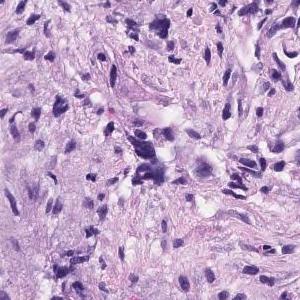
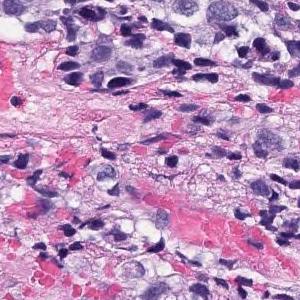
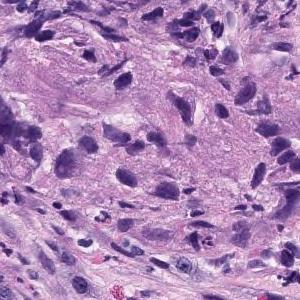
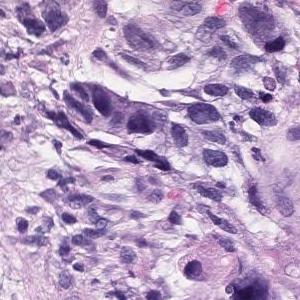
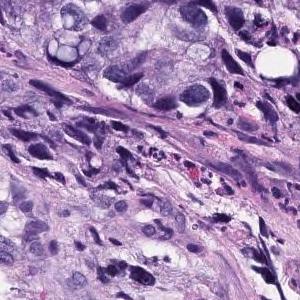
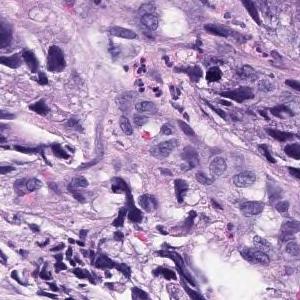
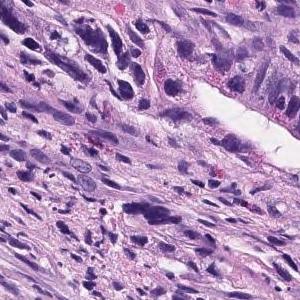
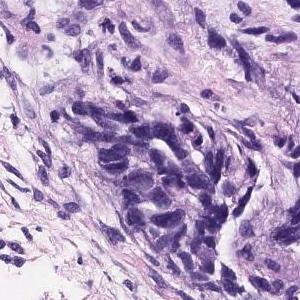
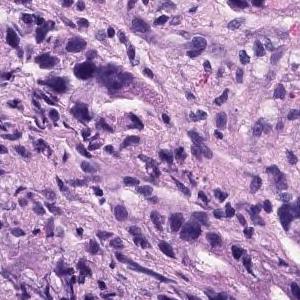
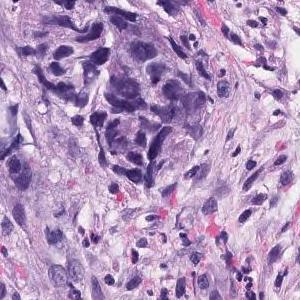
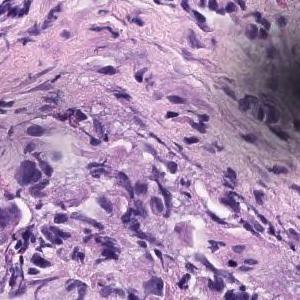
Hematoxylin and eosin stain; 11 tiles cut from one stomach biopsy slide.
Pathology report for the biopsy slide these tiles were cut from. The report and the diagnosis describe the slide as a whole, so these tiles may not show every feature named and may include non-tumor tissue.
The superficial epithelium shows small cord-like infiltrating tumor tissue. Some part of neoplastic cells are signet ring cell type which show single invasion manner. Poorly differentiated adenocarcinoma, non-solid type.
"Non-solid type" is a category of the Japanese Classification of Gastric Carcinoma.
